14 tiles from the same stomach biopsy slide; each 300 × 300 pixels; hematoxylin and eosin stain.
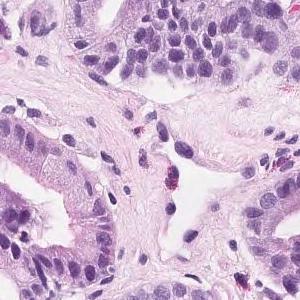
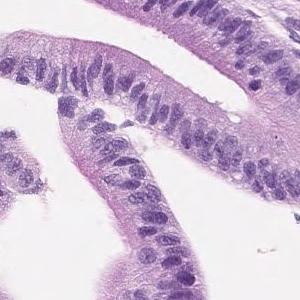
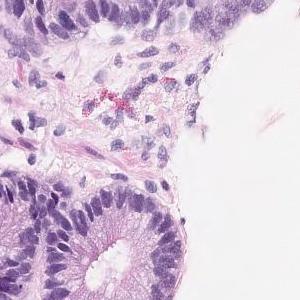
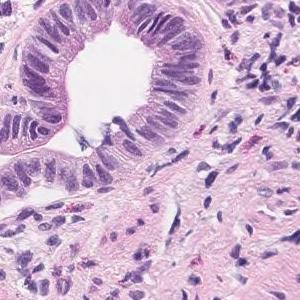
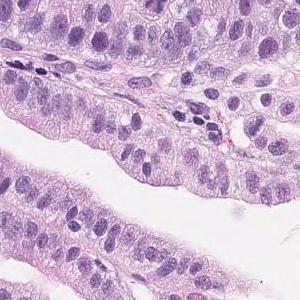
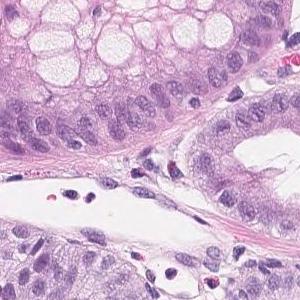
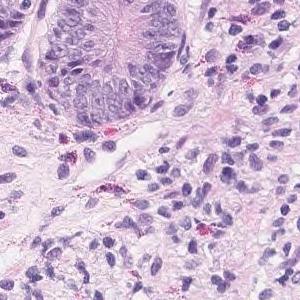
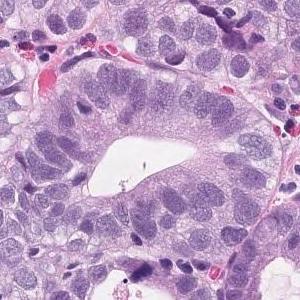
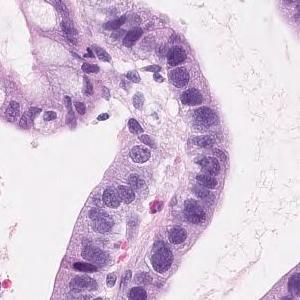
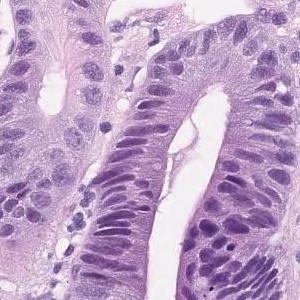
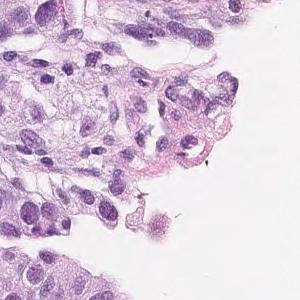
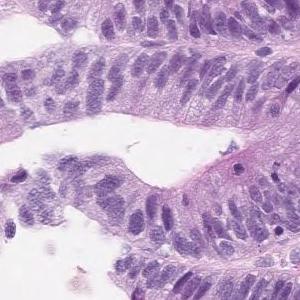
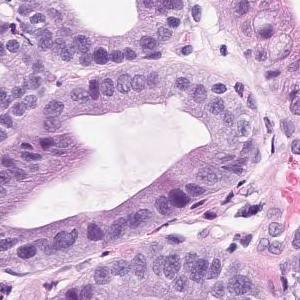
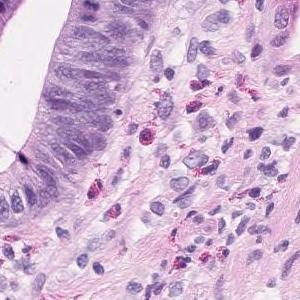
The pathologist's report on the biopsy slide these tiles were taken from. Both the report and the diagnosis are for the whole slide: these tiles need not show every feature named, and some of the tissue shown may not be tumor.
Short atypical epithelium with swelling of the nucleus shows proliferating, large and small irregular ductal structures. Well to moderately differentiated tubular adenocarcinoma (well differentiated tubular adenocarcinoma-moderately differentiated tubular adenocarcinoma)
Tumor subtype: well to moderately differentiated tubular adenocarcinoma.
